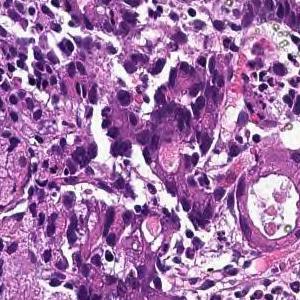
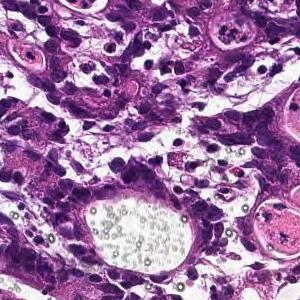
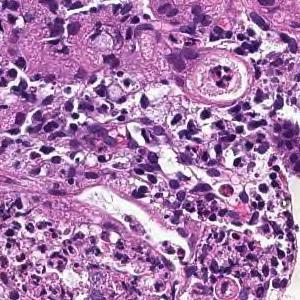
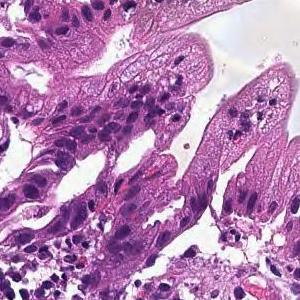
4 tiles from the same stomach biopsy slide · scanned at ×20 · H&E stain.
Report on the slide these tiles come from. Both the report and the diagnosis are for the whole slide: these tiles need not show every feature named, and some of the tissue shown may not be tumor.
In the superficial epithelium, tumor tissue that invades by forming medium-sized to small, irregular ducts is observed. moderately differentiated tubular adenocarcinoma.
